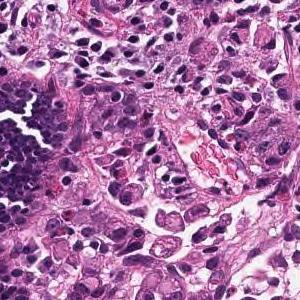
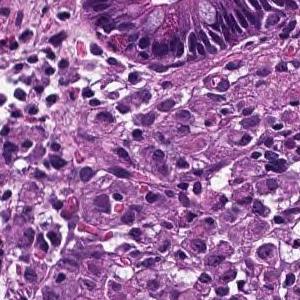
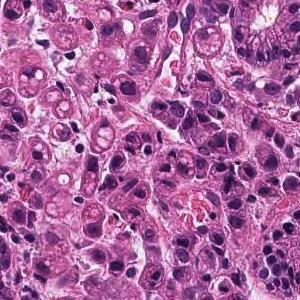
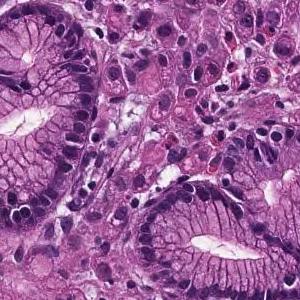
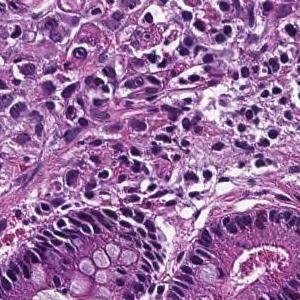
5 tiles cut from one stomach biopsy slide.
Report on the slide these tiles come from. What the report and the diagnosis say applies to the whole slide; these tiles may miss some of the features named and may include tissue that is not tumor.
Tumor tissue consisting of cord-like or small, irregular glandular ducts fused and infiltrated is observed in the superficial epithelium. Poorly differentiated adenocarcinoma, non-solid type
The term "non-solid type" comes from the Japanese Classification of Gastric Carcinoma.
